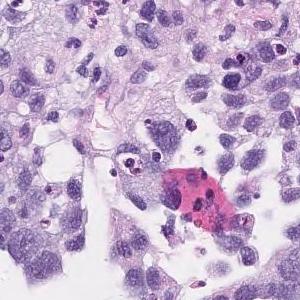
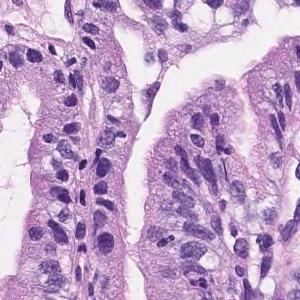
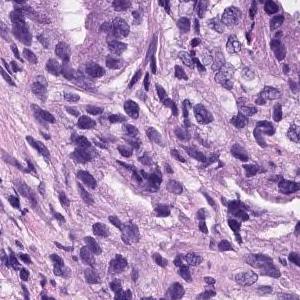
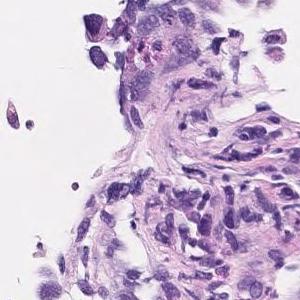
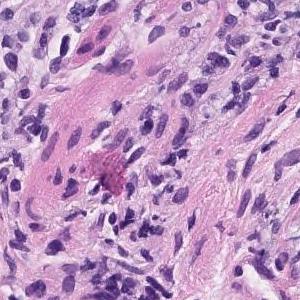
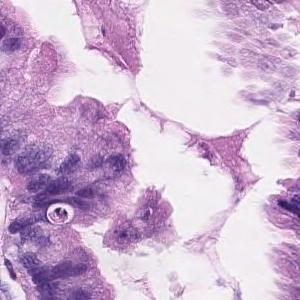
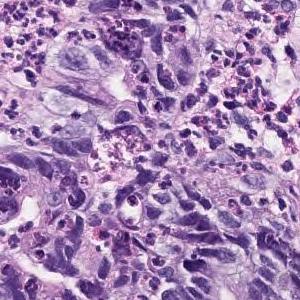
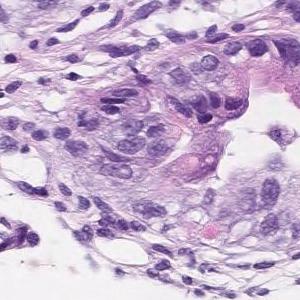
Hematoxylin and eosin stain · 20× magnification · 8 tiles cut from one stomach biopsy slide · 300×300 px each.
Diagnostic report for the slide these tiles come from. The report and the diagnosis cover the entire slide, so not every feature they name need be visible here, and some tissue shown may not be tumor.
Tumor cells are large, highly columnar, large club-shaped nuclei, and are associated with chromatin aggregation. Papillary adenocarcinoma.
